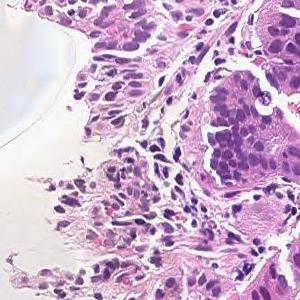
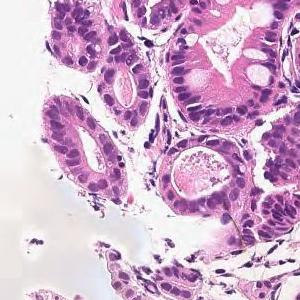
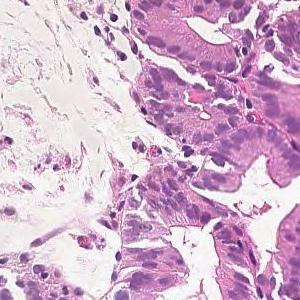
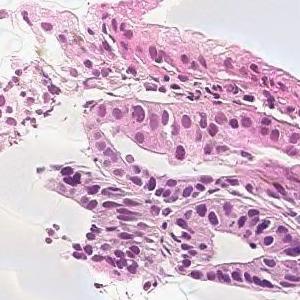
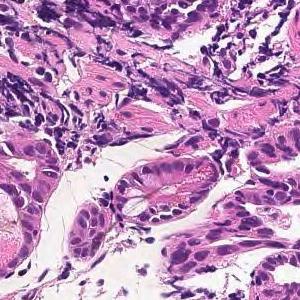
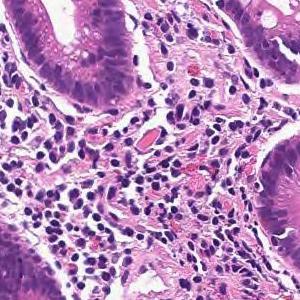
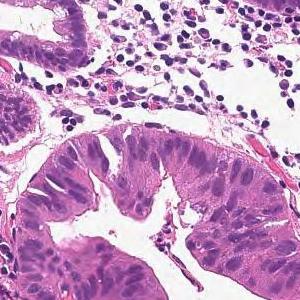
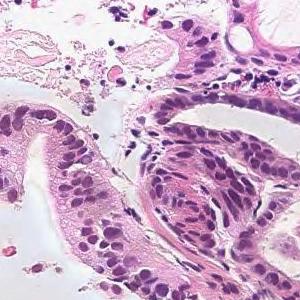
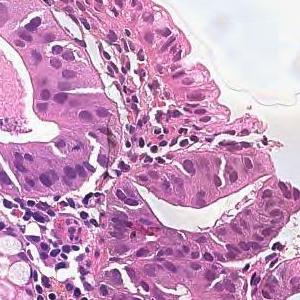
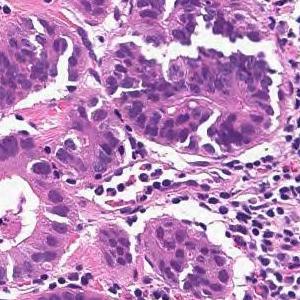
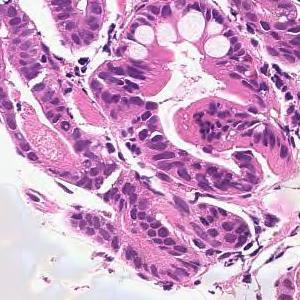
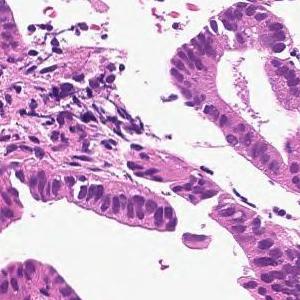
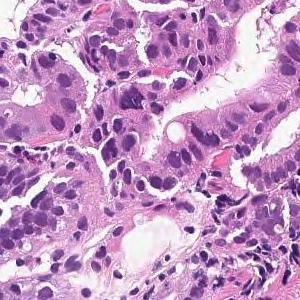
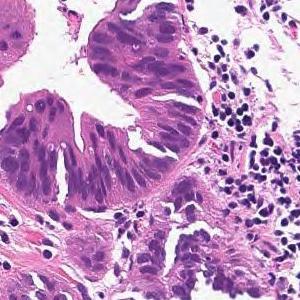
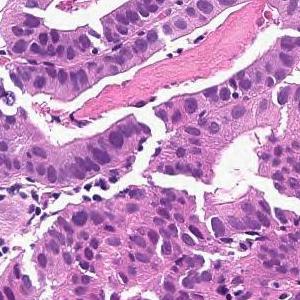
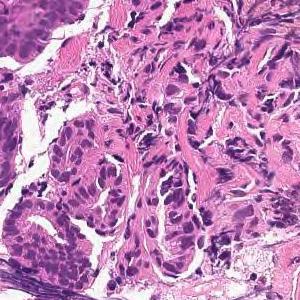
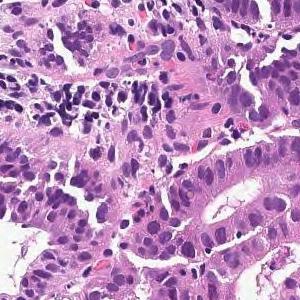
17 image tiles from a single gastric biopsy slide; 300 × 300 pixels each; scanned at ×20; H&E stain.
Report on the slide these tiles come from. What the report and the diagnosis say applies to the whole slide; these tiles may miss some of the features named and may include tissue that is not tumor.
From the superficial epithelium to the muscularis mucosae, tumor tissue consisting of medium-sized and irregular glandular ducts infiltrating is observed. Well differentiated tubular adenocarcinoma
